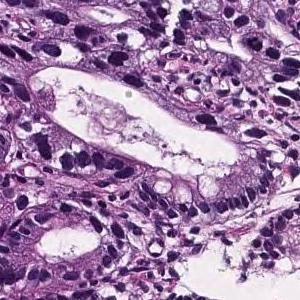
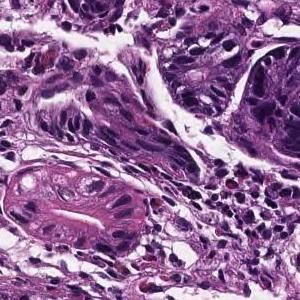
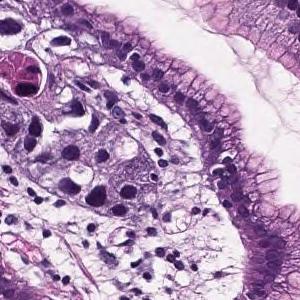
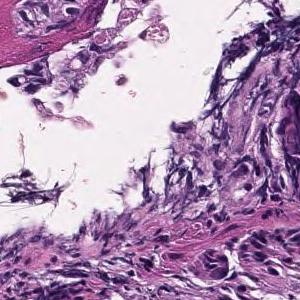
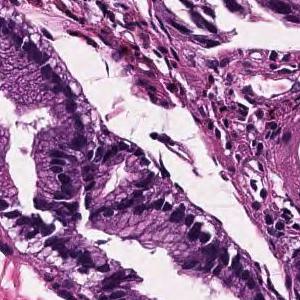
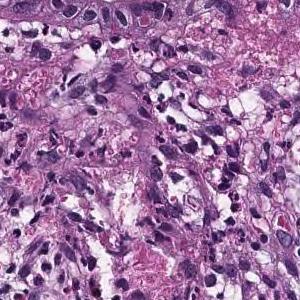
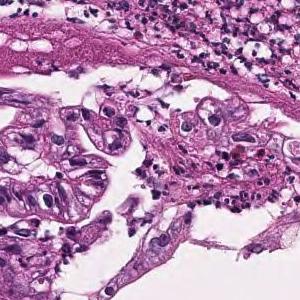
7 tiles cut from one stomach biopsy slide; 300×300 px each; H&E stain.
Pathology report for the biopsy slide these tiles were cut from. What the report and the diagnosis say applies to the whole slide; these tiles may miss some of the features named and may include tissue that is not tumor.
In the superficial epithelium, medium to small irregular gland ducts are formed, and in some cases, the ducts are fused to show solid alveolar lesions and infiltrating tumor tissue is observed. Moderately to poorly differentiated adenocarcinoma
